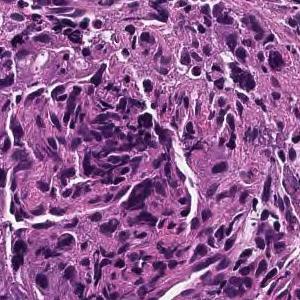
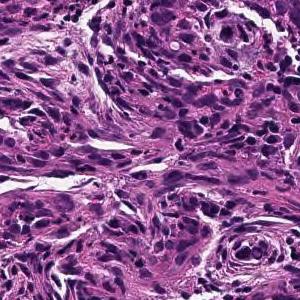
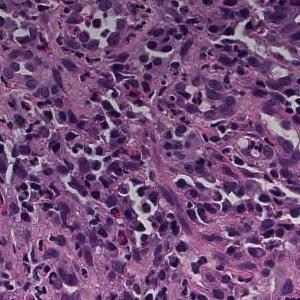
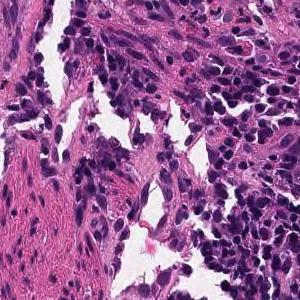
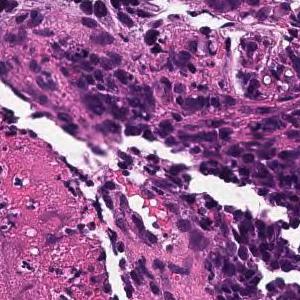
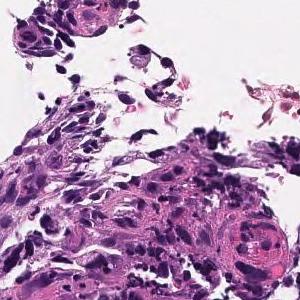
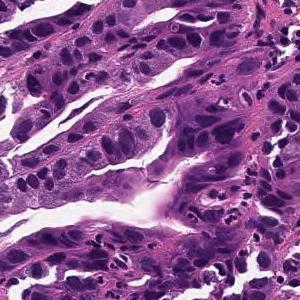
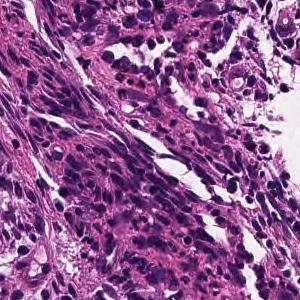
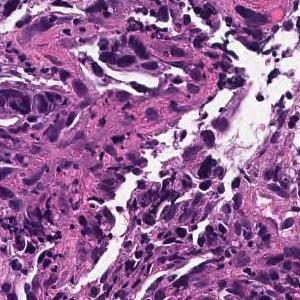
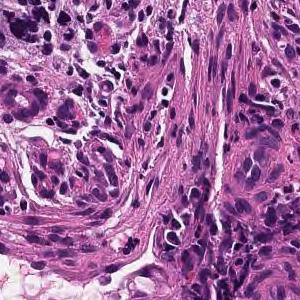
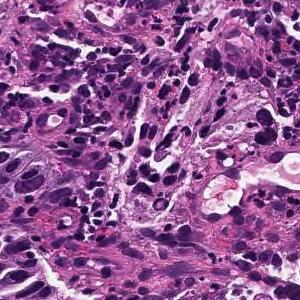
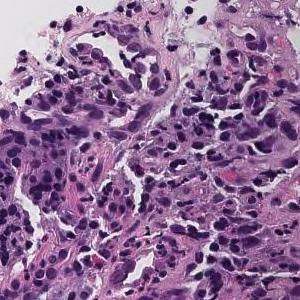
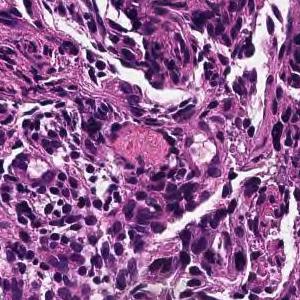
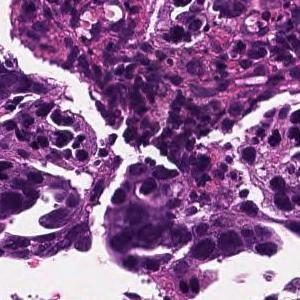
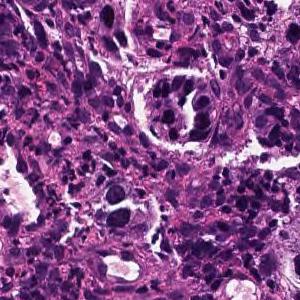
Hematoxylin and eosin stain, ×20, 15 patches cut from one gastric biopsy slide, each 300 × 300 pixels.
Pathology report for the slide these tiles were cut from. Both the report and the diagnosis are for the whole slide: these tiles need not show every feature named, and some of the tissue shown may not be tumor.
On the superficial epithelium, tumor tissue consisting of large irregular glandular ducts partially fused and infiltrated is observed. Well to moderately differentiated tubular adenocarcinoma (well differentiated tubular adenocarcinoma, moderately differentiated tubular adenocarcinoma)
Tumor subtype: well to moderately differentiated tubular adenocarcinoma.
